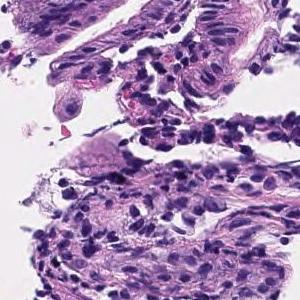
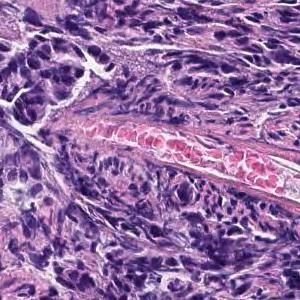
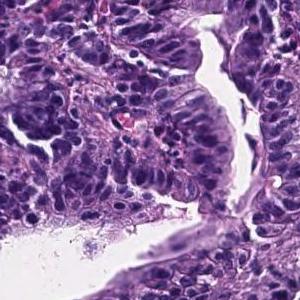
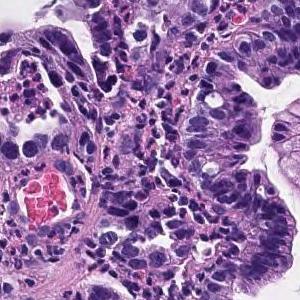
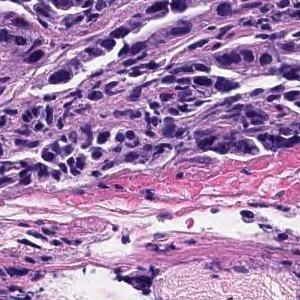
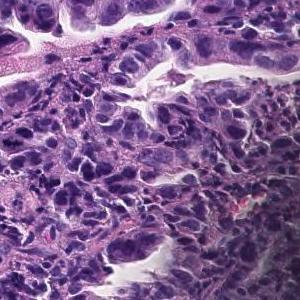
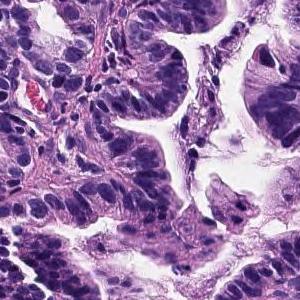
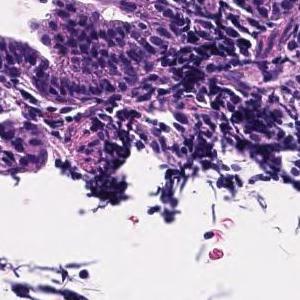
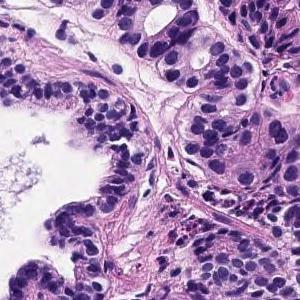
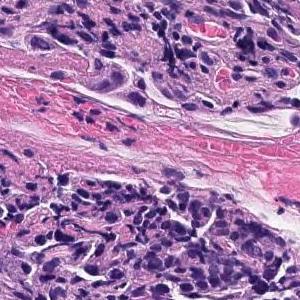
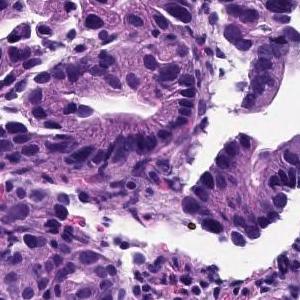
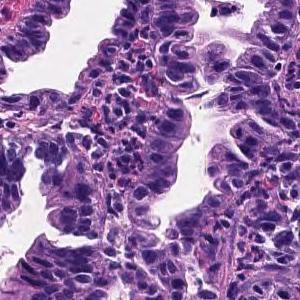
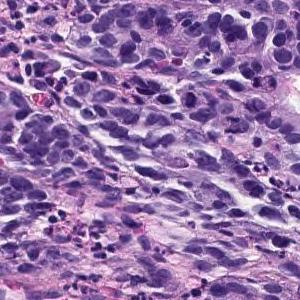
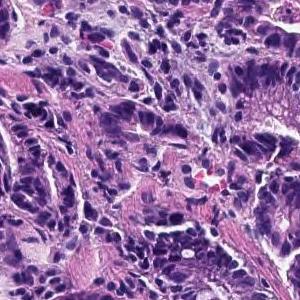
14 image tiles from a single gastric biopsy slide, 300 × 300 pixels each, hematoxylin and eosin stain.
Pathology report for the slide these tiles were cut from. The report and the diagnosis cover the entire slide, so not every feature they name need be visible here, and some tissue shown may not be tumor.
The superficial tumors shows large papillary structures or large and small ducts and infiltrates. Papillary adenocarcinoma.
